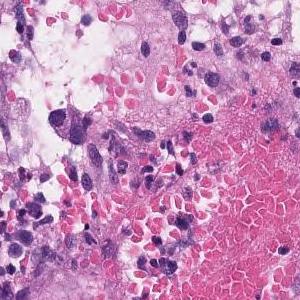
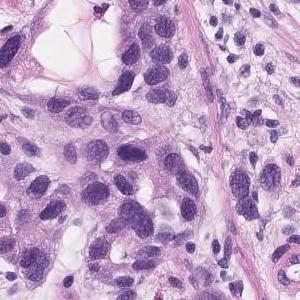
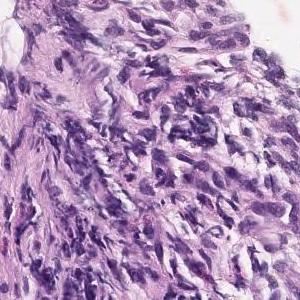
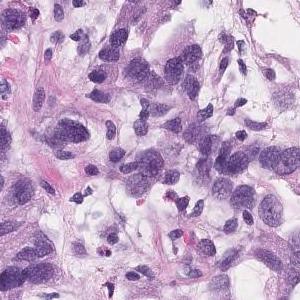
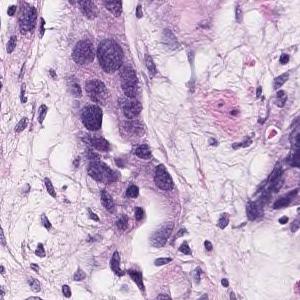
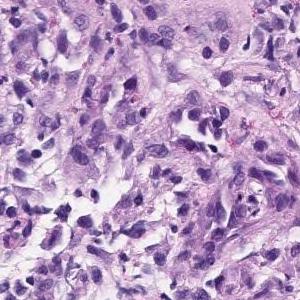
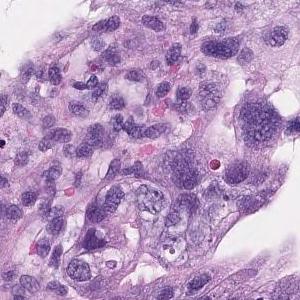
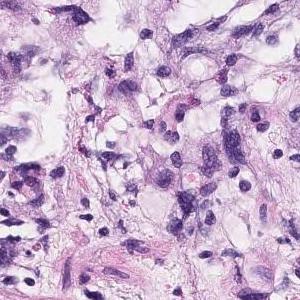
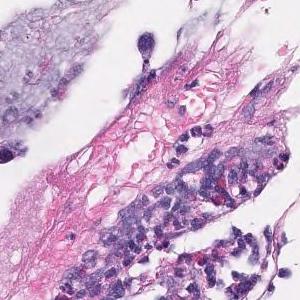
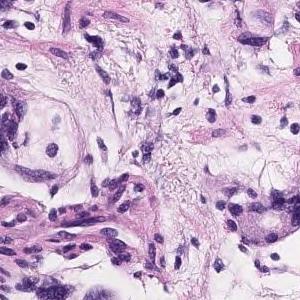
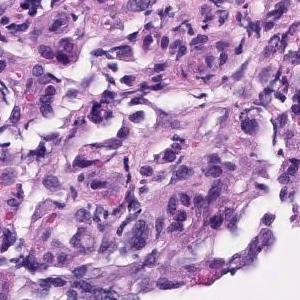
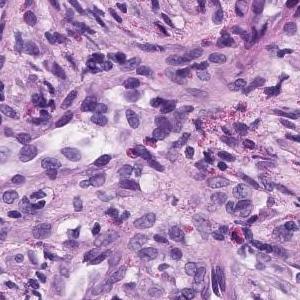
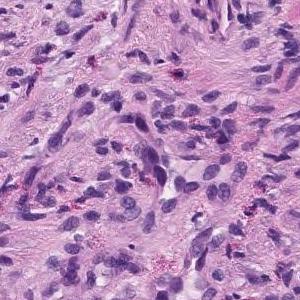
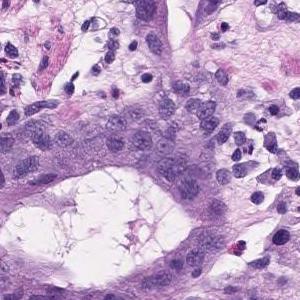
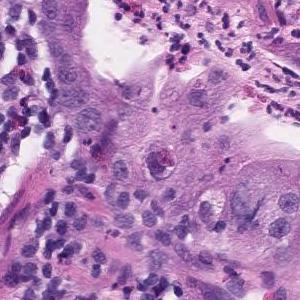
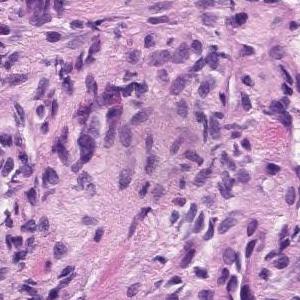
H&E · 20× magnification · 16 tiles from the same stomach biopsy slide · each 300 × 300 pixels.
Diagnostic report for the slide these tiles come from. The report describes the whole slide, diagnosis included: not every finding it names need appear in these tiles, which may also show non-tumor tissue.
Group 5, Adenocarcinoma. Moderately to poorly differentiated adenocarcinoma
